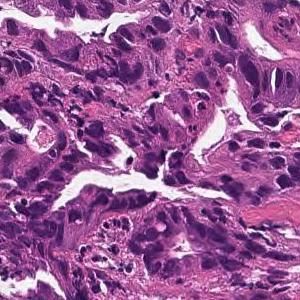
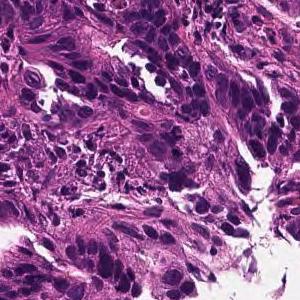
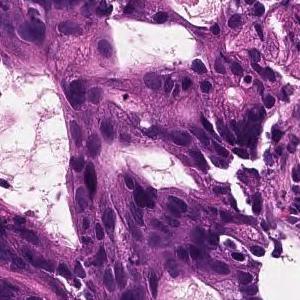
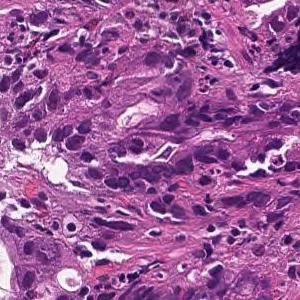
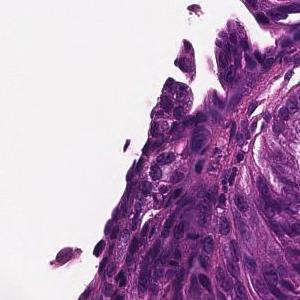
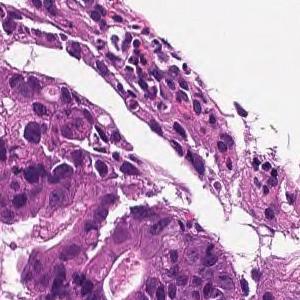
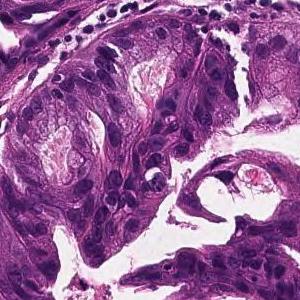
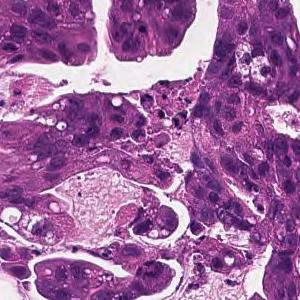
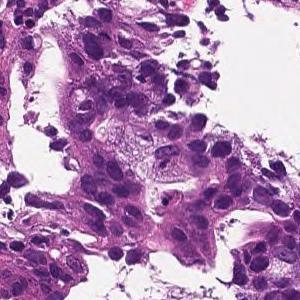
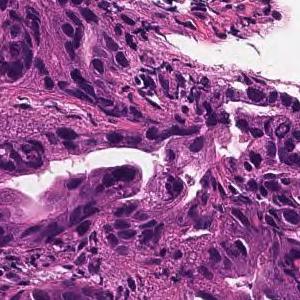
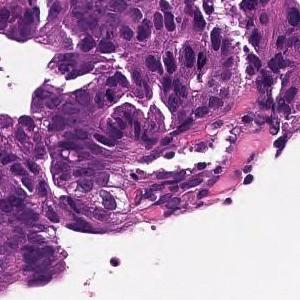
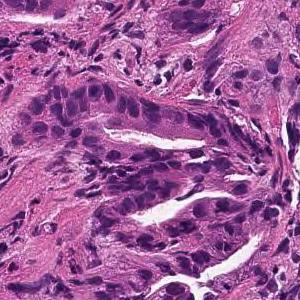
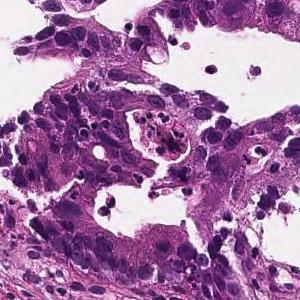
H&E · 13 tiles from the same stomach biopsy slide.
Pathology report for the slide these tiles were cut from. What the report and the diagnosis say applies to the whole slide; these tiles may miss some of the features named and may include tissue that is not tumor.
On the superficial epithelium, tumor tissue is found in which medium-sized irregular gland ducts fuse with each other and infiltrate. moderately differentiated tubular adenocarcinoma
